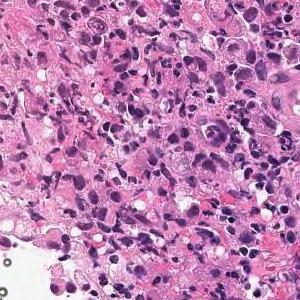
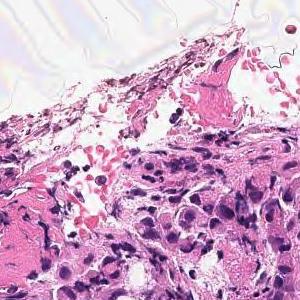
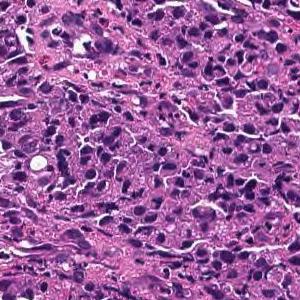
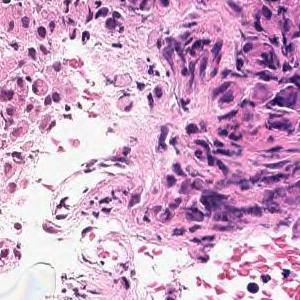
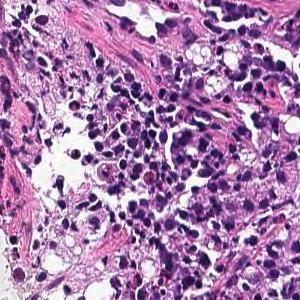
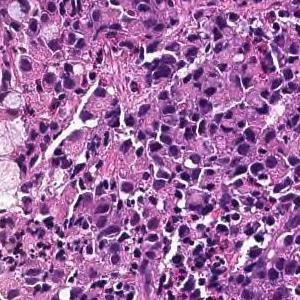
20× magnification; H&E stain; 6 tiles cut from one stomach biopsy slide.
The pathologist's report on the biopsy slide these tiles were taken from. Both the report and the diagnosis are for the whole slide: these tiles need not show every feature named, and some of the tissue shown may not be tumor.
Tumor tissue consisting of diffusely infiltrated large atypical epithelial cells or signet ring atypical cells is observed in the superficial epithelium. Poorly differentiated adenocarcinoma, solid-type
Histological subtype: Poorly differentiated adenocarcinoma, solid type. This name comes from the Japanese Classification of Gastric Carcinoma; the WHO 2019 classification calls it tubular adenocarcinoma, poorly differentiated.
